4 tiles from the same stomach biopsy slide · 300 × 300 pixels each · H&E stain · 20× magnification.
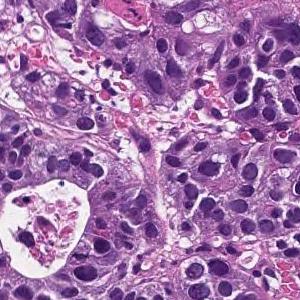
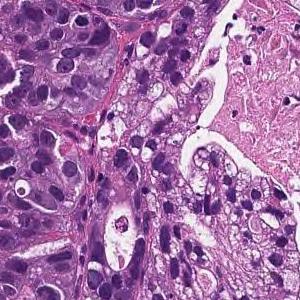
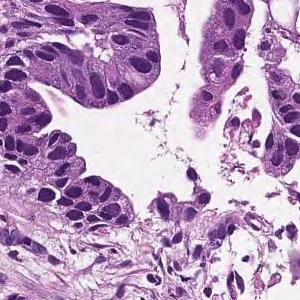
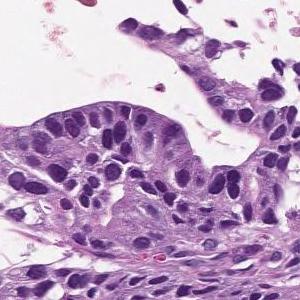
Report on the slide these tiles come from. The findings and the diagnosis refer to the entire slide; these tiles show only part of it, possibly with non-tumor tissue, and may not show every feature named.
On the superficial epithelium, tumor tissue consisting of large, irregular glandular ducts partially fused and infiltrated is observed. Well to moderately differentiated tubular adenocarcinoma (well differentiated tubular adenocarcinoma, moderately differentiated tubular adenocarcinoma)
Histological subtype: Well to moderately differentiated tubular adenocarcinoma.
